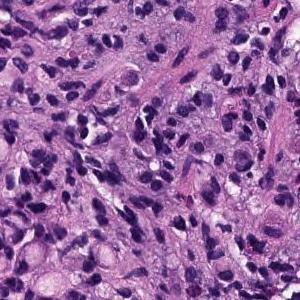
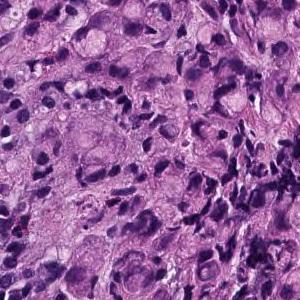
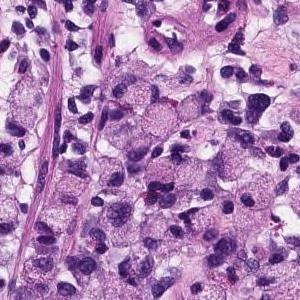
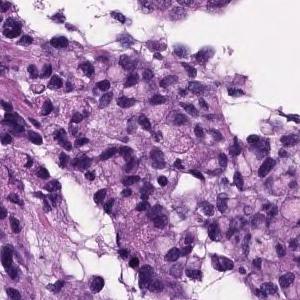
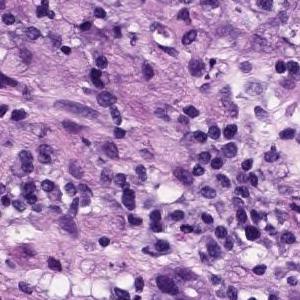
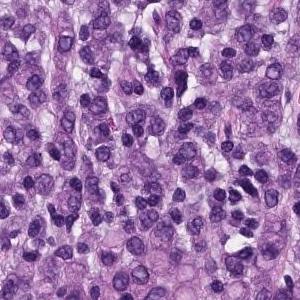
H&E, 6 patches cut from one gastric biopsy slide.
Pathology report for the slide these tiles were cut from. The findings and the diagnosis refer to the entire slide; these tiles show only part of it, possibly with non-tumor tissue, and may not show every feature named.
The superficial epithelium shows a large sheet-like shape, and some tumor tissue infiltrates with small irregular ducts. Poorly differentiated adenocarcinoma, solid-type
Subtype: Poorly differentiated adenocarcinoma, solid type (Japanese Classification of Gastric Carcinoma). The WHO 2019 equivalent is tubular adenocarcinoma, poorly differentiated.
